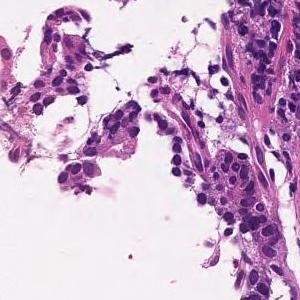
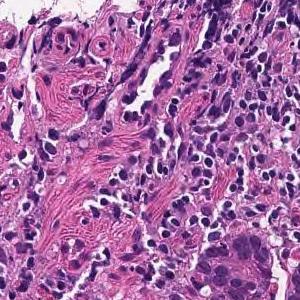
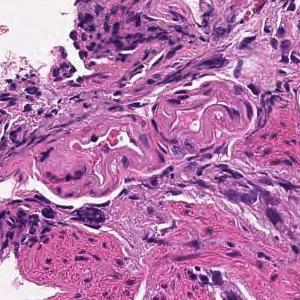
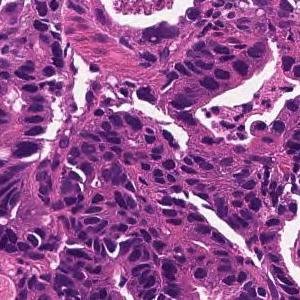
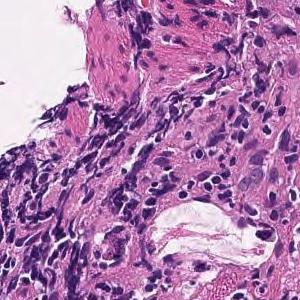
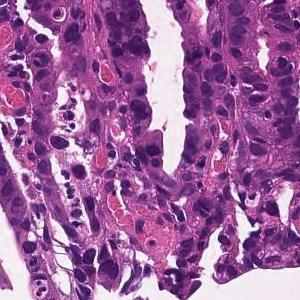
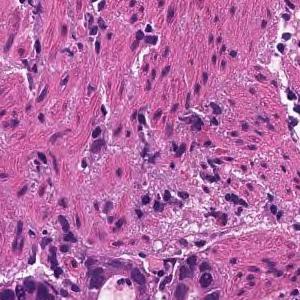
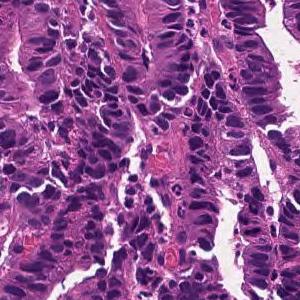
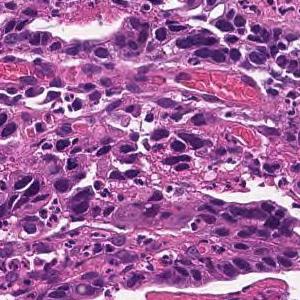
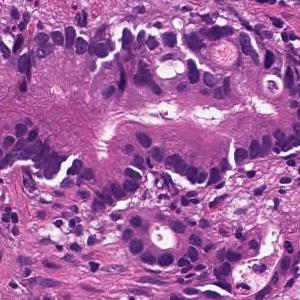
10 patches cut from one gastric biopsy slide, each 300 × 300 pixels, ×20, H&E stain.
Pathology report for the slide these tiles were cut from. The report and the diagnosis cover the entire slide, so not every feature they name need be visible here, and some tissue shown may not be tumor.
In the superficial epithelium, tumor tissue that invades by forming medium-sized to small, irregular ducts is observed. moderately differentiated tubular adenocarcinoma.
